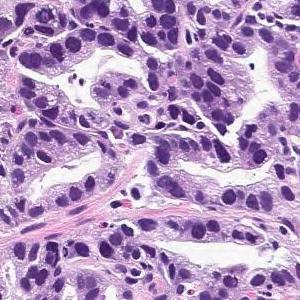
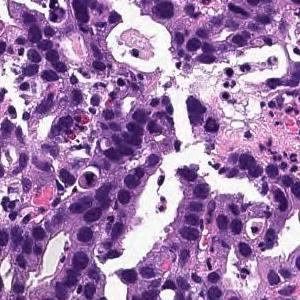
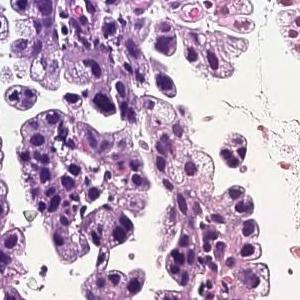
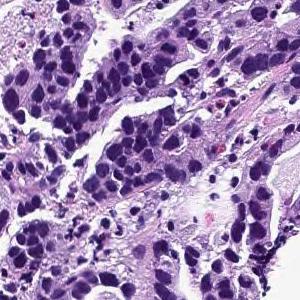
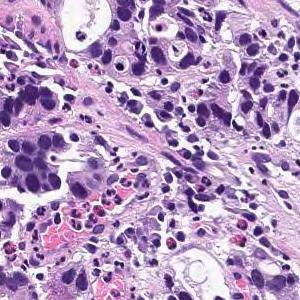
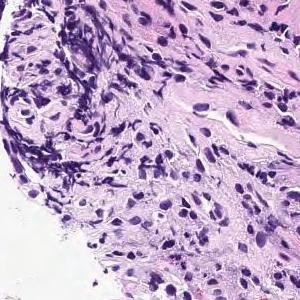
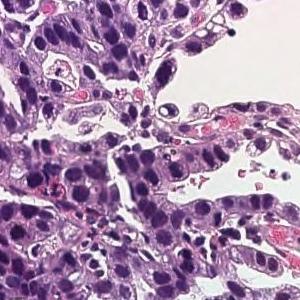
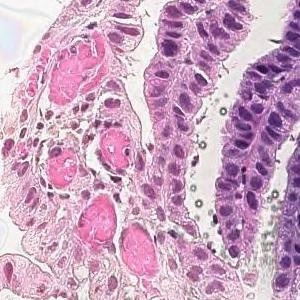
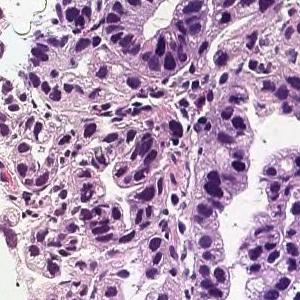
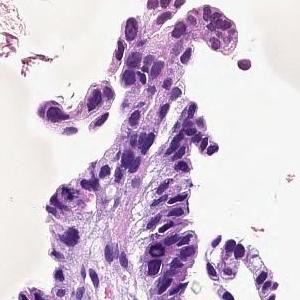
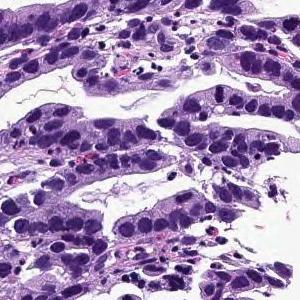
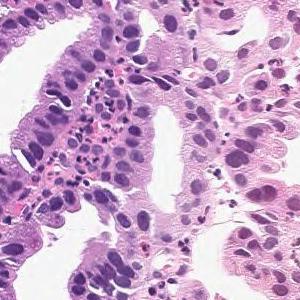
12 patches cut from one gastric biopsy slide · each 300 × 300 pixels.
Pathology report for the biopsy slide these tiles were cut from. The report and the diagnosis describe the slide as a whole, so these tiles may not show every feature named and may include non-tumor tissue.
On the superficial epithelium, tumor tissue consisting of large irregular glandular ducts partially fused and infiltrated is observed. Well to moderately differentiated tubular adenocarcinoma (well differentiated tubular adenocarcinoma, moderately differentiated tubular adenocarcinoma)
Histologic type: Well to moderately differentiated tubular adenocarcinoma.
